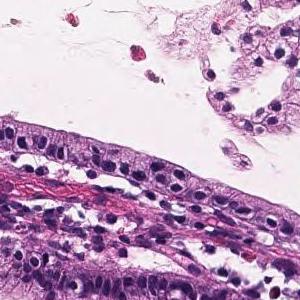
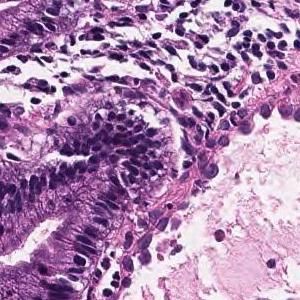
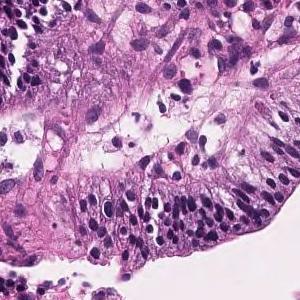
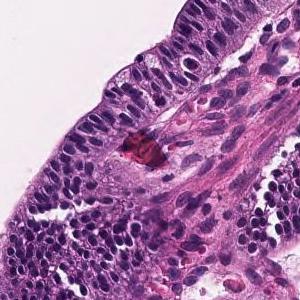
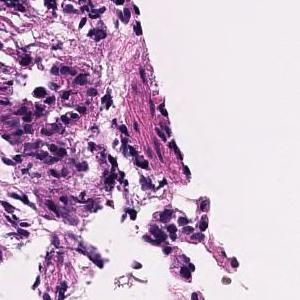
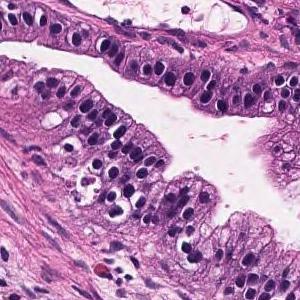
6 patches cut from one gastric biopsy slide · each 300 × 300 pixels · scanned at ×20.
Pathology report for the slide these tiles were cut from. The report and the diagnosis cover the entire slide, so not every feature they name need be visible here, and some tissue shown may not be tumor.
Tumor tissue consisting of large papillary structures or irregular glandular ducts partially fused and infiltrated is observed in the superficial epithelium. Well to moderately differentiated tubular adenocarcinoma.
Dataset label: moderately differentiated tubular adenocarcinoma.
